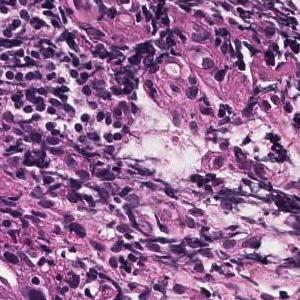
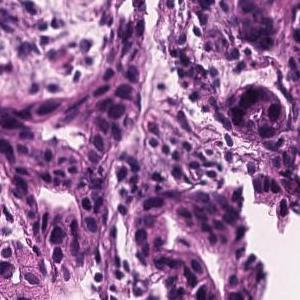
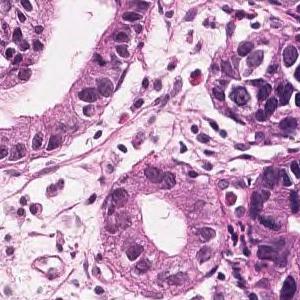
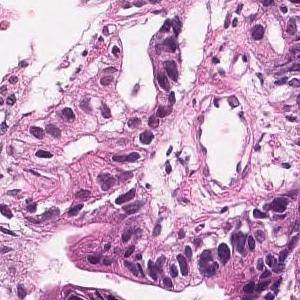
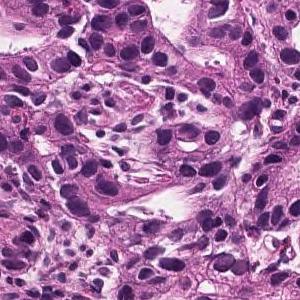
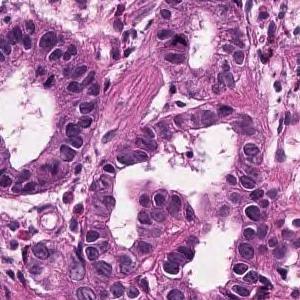
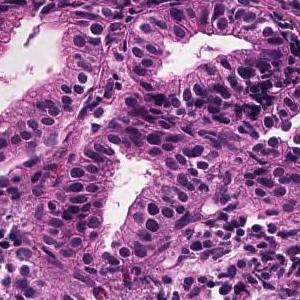
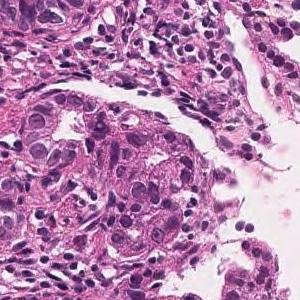
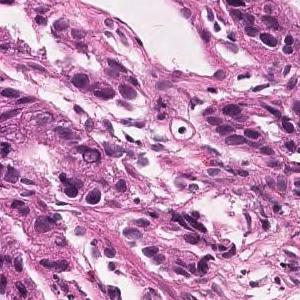
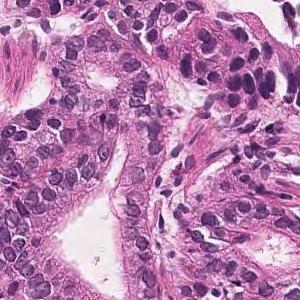
10 patches cut from one gastric biopsy slide · 300×300 px each · ×20 · H&E stain.
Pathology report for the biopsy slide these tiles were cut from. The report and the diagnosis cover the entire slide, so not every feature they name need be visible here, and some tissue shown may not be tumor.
Tumor tissue consisting of medium-sized and irregular ducts is observed infiltrating in the superficial epithelium. Tumor cells are highly columnar, with nuclei aligned basolaterally and polarized. Well differentiated tubular adenocarcinoma.
